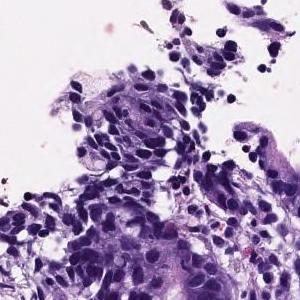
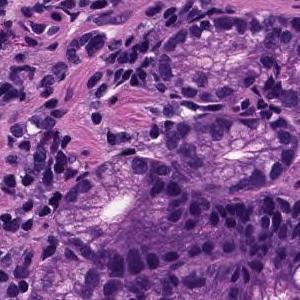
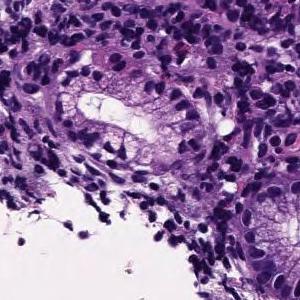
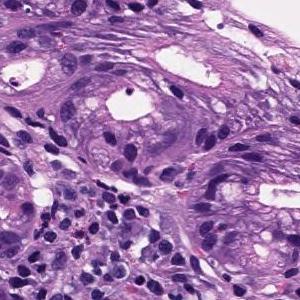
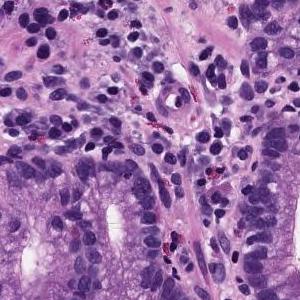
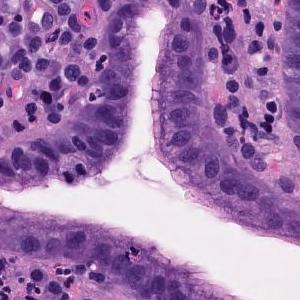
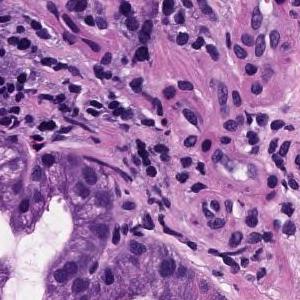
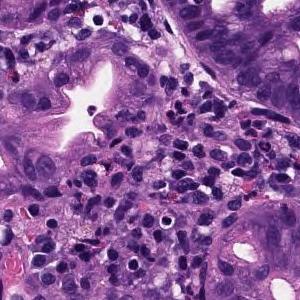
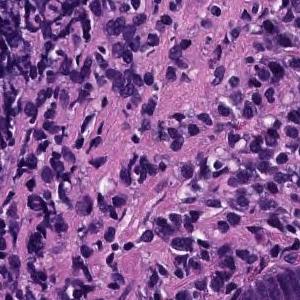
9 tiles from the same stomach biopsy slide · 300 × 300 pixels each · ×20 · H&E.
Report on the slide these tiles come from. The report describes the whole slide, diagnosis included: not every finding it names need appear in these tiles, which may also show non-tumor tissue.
Medium to small, irregular glandular ducts are formed in the superficial epithelium, and in some cases, the glandular ducts are fused to show solid alveolar lesions and infiltrating tumor tissue is observed. Moderately to poorly differentiated adenocarcinoma.
